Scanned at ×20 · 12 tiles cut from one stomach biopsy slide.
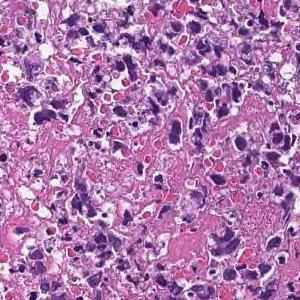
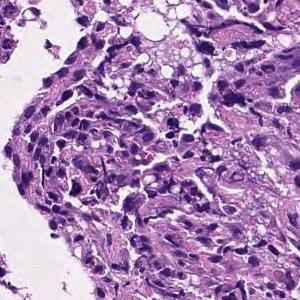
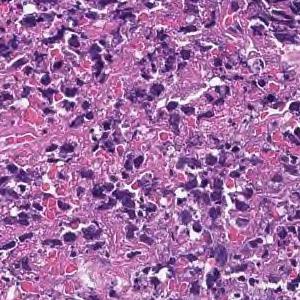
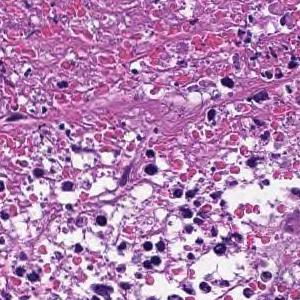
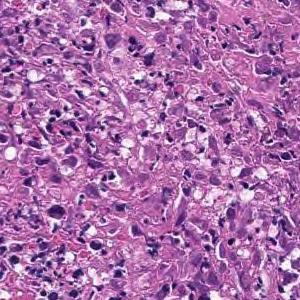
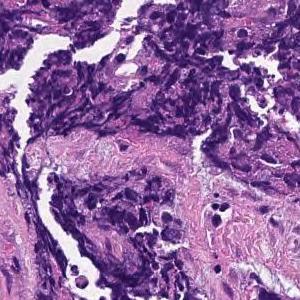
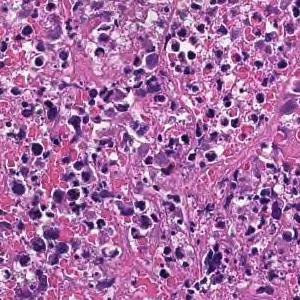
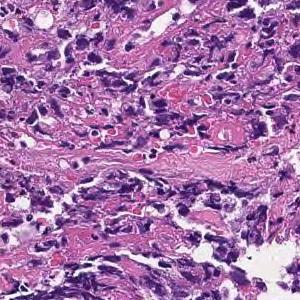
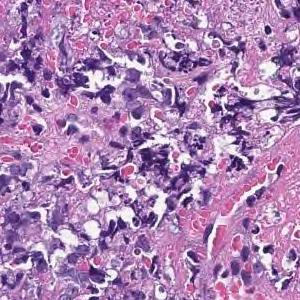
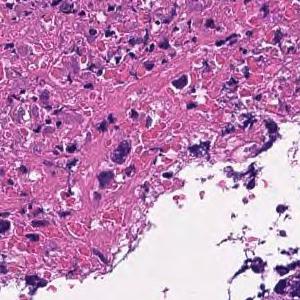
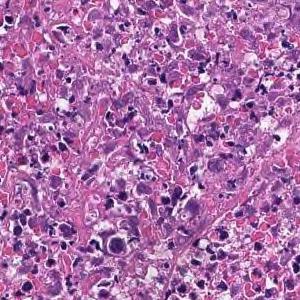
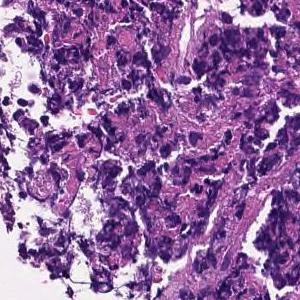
Diagnostic report for the slide these tiles come from. The findings and the diagnosis refer to the entire slide; these tiles show only part of it, possibly with non-tumor tissue, and may not show every feature named.
Most are composed of coagulative necrotic tissue, but some show a large sheet-like shape, and some show tumor tissue infiltrating with a small cord-like structure. Poorly differentiated adenocarcinoma, solid-type
Histological subtype: Poorly differentiated adenocarcinoma, solid type (Japanese Classification of Gastric Carcinoma). The WHO 2019 equivalent is tubular adenocarcinoma, poorly differentiated.
